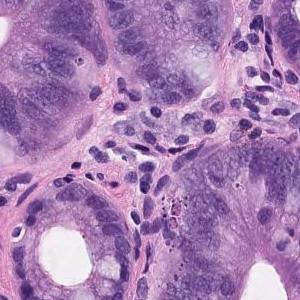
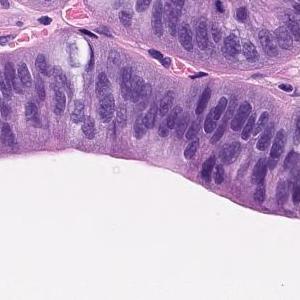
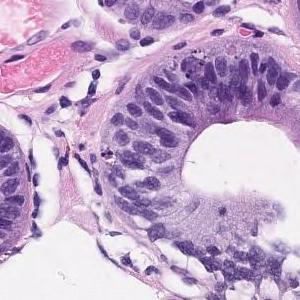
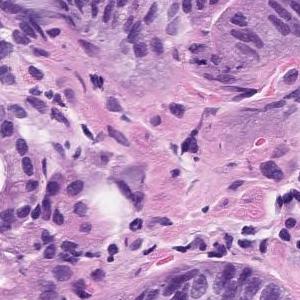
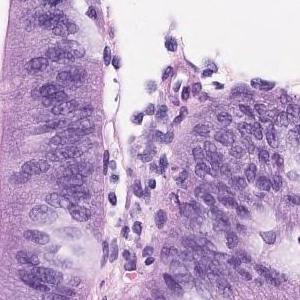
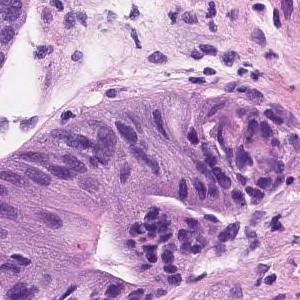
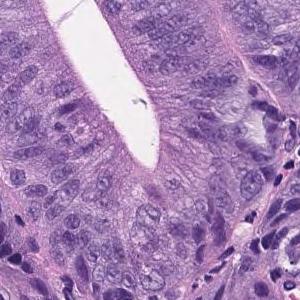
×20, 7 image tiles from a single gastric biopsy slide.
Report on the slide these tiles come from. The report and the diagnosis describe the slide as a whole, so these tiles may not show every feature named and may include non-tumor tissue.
On the superficial epithelium, tumor tissue consisting of images of atypical ducts of different sizes partially fused and densely proliferating is observed. Well differentiated tubular adenocarcinoma
